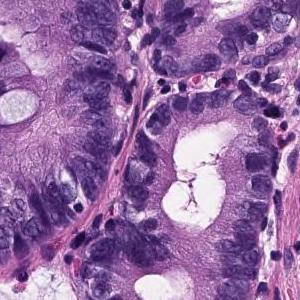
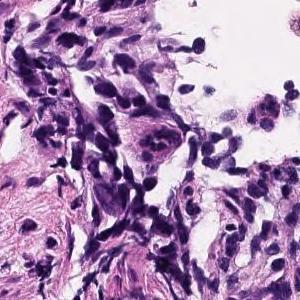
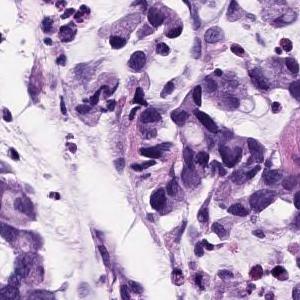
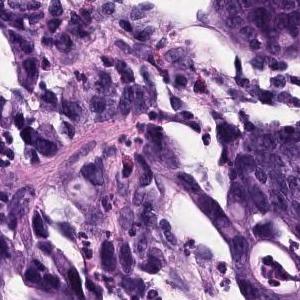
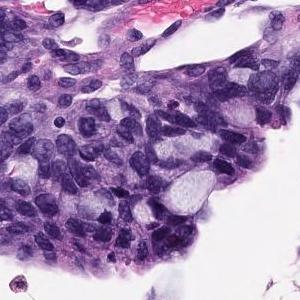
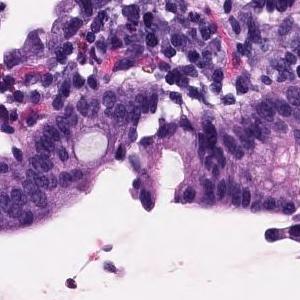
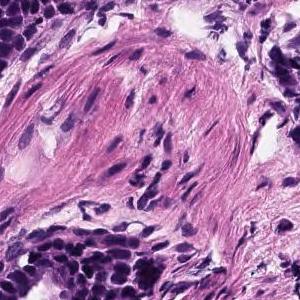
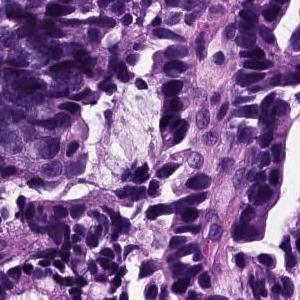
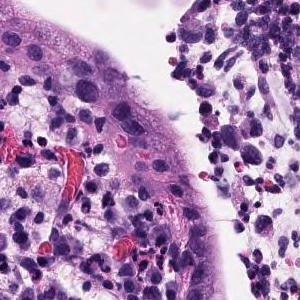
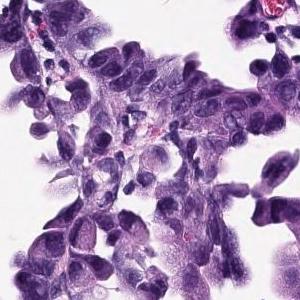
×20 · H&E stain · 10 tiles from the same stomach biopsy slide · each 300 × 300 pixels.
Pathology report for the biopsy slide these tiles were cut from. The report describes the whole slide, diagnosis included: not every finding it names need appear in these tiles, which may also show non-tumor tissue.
Atypical epithelium proliferating showing villus construction and irregular gland duct construction is observed. Moderately differentiated tubular adenocarcinoma.
